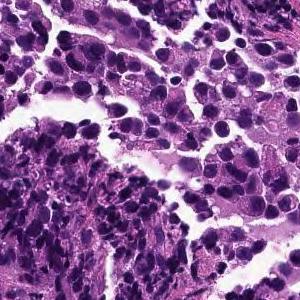
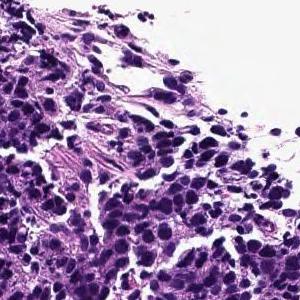
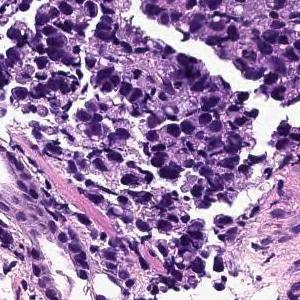
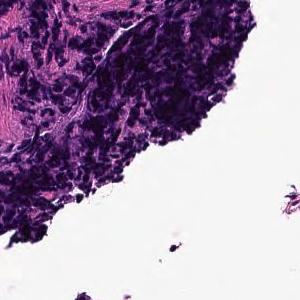
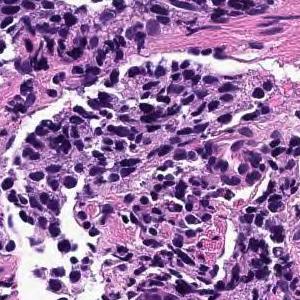
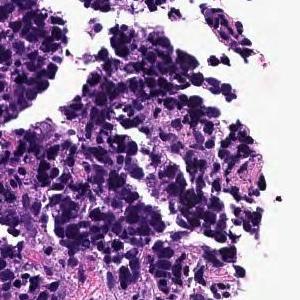
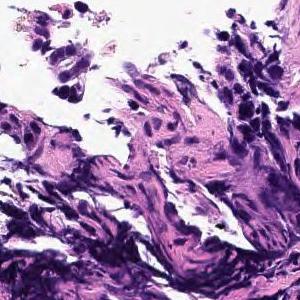
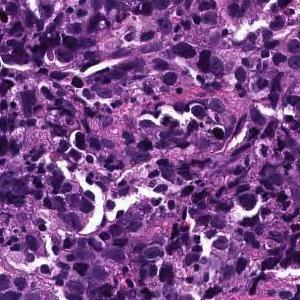
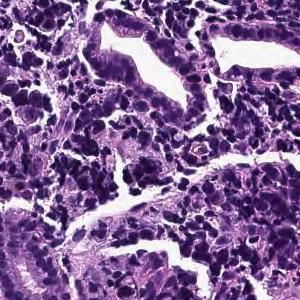
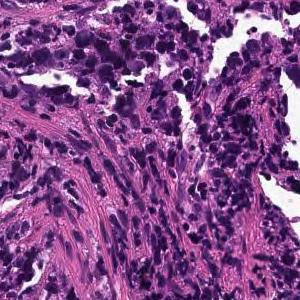
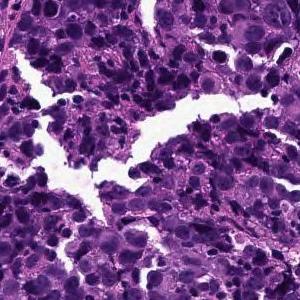
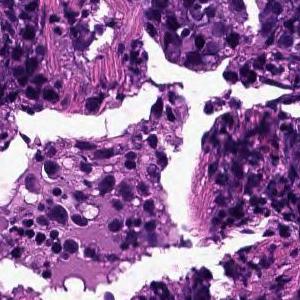
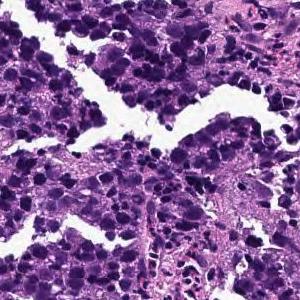
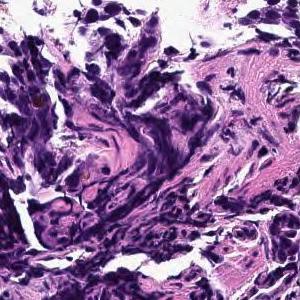
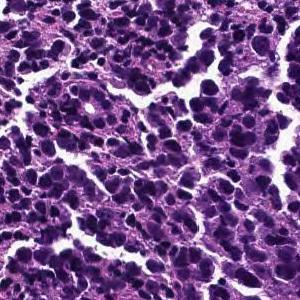
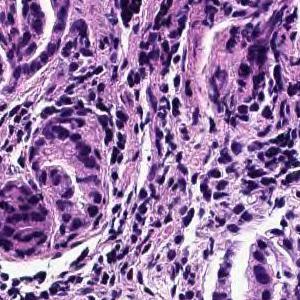
16 tiles cut from one stomach biopsy slide, hematoxylin and eosin stain.
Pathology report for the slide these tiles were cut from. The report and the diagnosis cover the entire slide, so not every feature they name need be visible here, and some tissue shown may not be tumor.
The superficial epithelium shows large alveolar or sheet-like forms, and some tumor tissue infiltrates with small irregular ducts. Poorly differentiated adenocarcinoma, solid-type
Histological subtype: Poorly differentiated adenocarcinoma, solid type (Japanese Classification of Gastric Carcinoma). The WHO 2019 equivalent is tubular adenocarcinoma, poorly differentiated.
